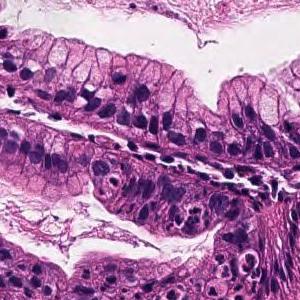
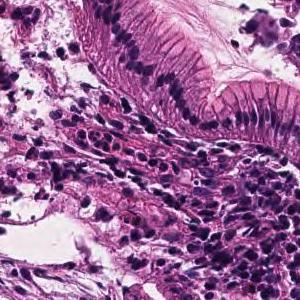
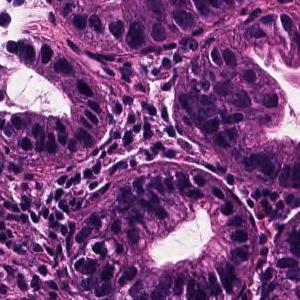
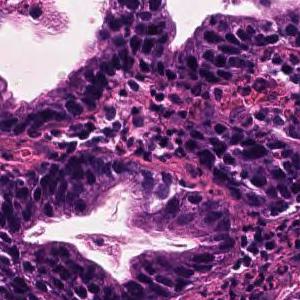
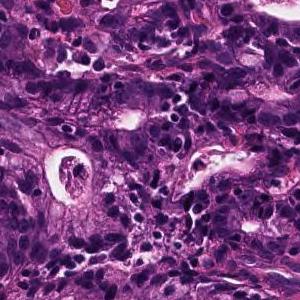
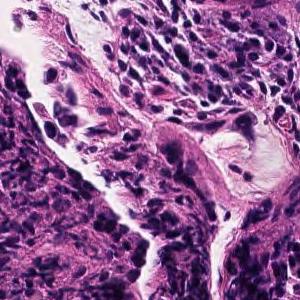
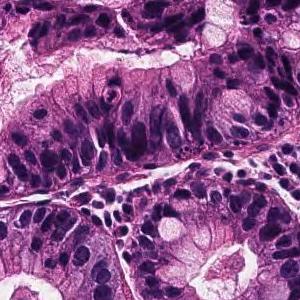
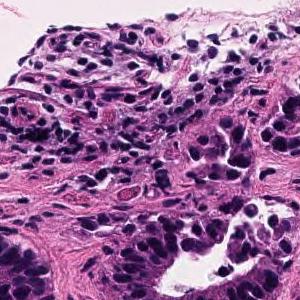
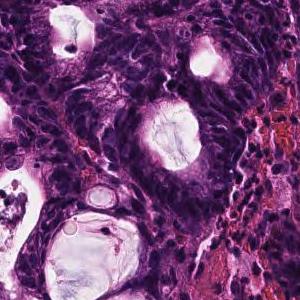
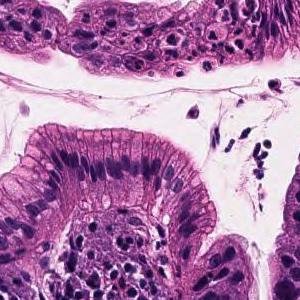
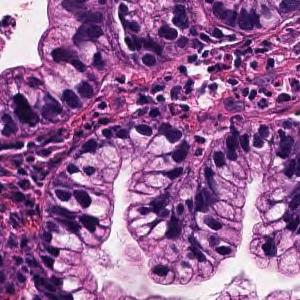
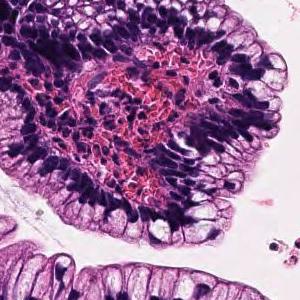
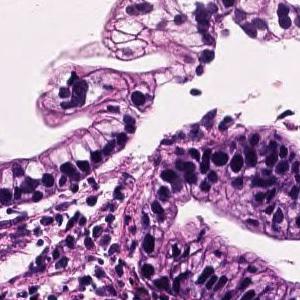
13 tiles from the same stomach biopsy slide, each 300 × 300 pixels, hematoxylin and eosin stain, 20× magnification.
Diagnostic report for the slide these tiles come from. Both the report and the diagnosis are for the whole slide: these tiles need not show every feature named, and some of the tissue shown may not be tumor.
Tumor cells are large, highly columnar, large club-shaped nuclei, and are associated with chromatin aggregation. Papillary adenocarcinoma.
